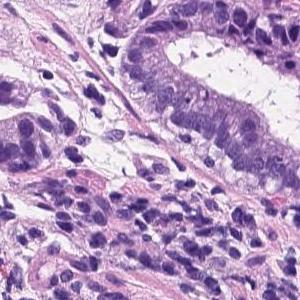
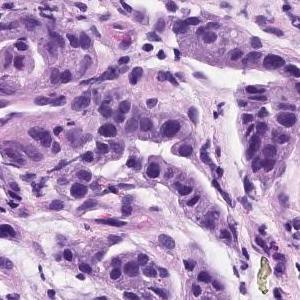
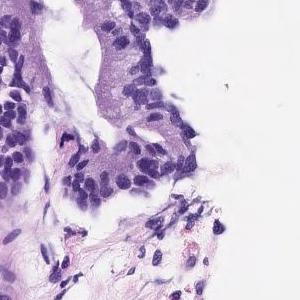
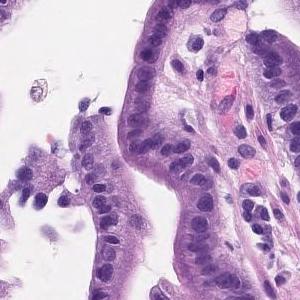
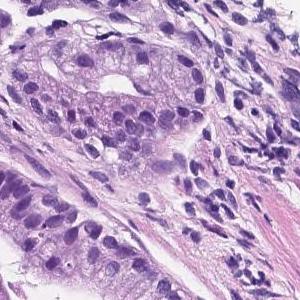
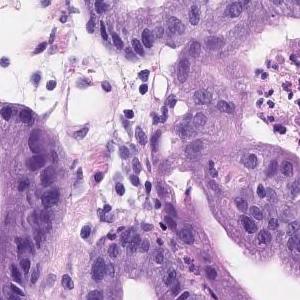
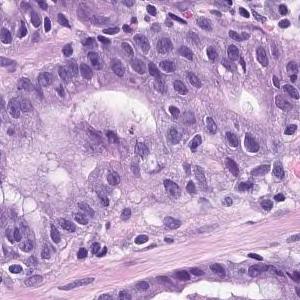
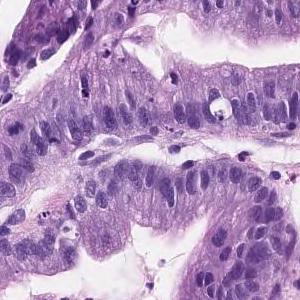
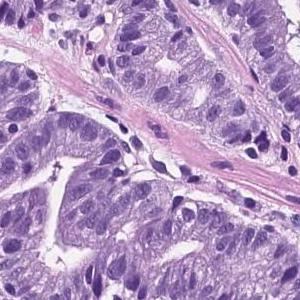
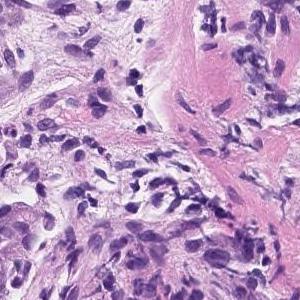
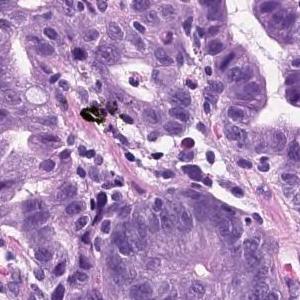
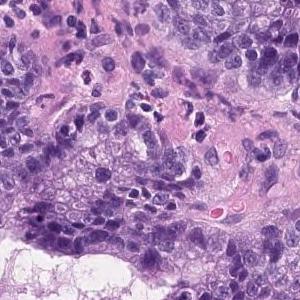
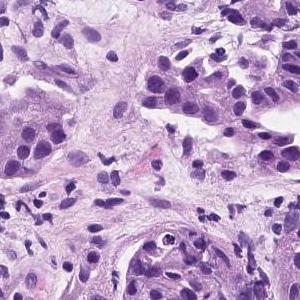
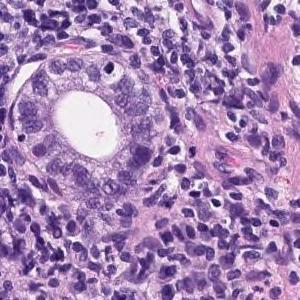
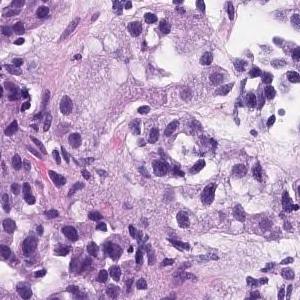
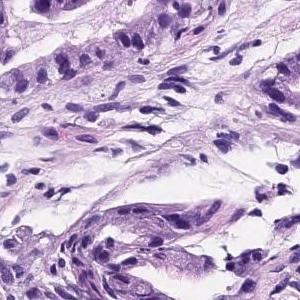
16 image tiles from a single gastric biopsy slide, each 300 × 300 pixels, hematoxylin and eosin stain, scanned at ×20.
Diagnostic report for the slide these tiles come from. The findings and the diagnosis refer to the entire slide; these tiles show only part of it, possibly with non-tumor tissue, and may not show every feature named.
Tumor tissue consisting of medium-sized and irregular ducts is observed infiltrating in the superficial epithelium. Tumor cells are highly columnar, with nuclei aligned basolaterally and polarized. Well differentiated tubular adenocarcinoma.
